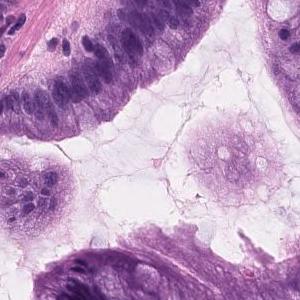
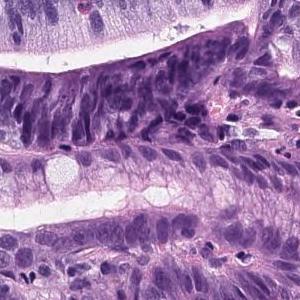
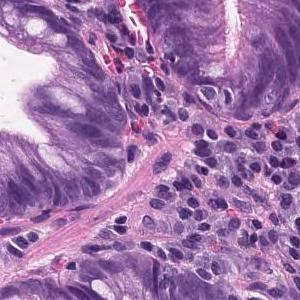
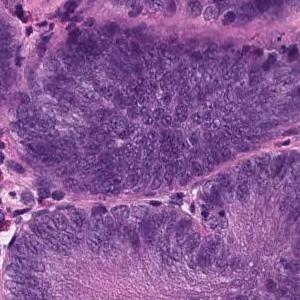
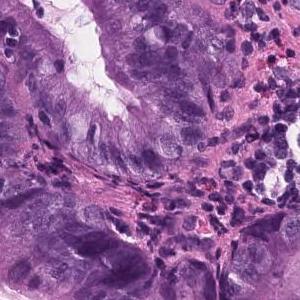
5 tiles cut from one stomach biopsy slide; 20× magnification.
Pathology report for the slide these tiles were cut from. What the report and the diagnosis say applies to the whole slide; these tiles may miss some of the features named and may include tissue that is not tumor.
On the superficial epithelium, tumor tissue with densely growing medium to large, round tubules is observed. Tumor cells are highly columnar, with nuclei aligned basolaterally and polarized. Well differentiated tubular adenocarcinoma
